8 image tiles from a single gastric biopsy slide; 20× magnification; hematoxylin and eosin stain.
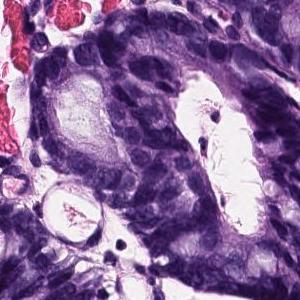
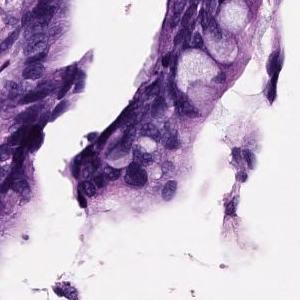
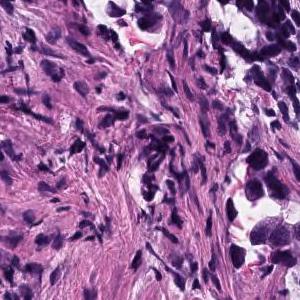
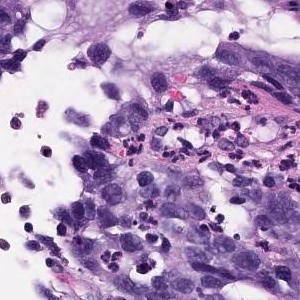
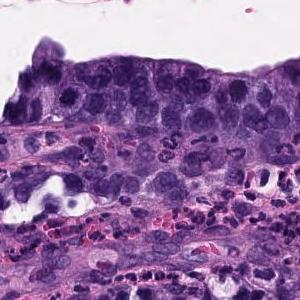
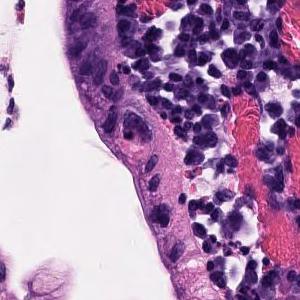
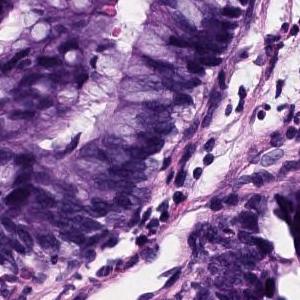
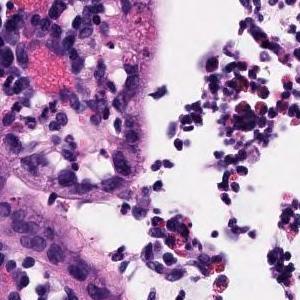
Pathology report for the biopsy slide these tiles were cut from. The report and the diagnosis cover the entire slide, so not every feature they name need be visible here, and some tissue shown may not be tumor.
Atypical epithelium proliferating showing villus construction and irregular gland duct construction is observed. Moderately differentiated tubular adenocarcinoma.
